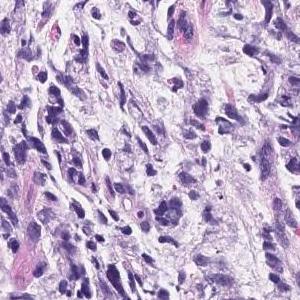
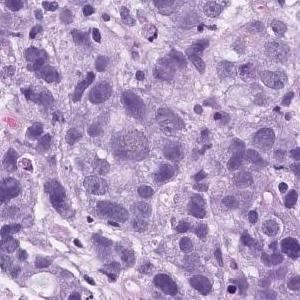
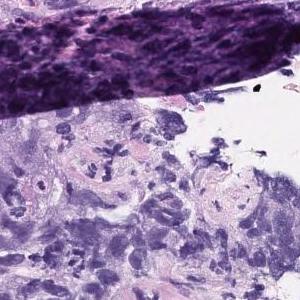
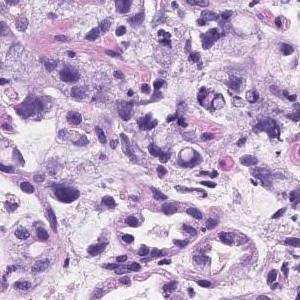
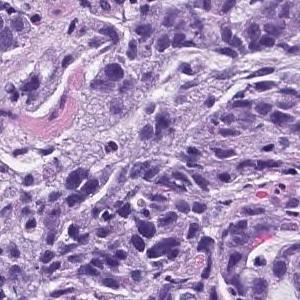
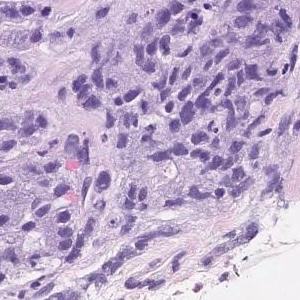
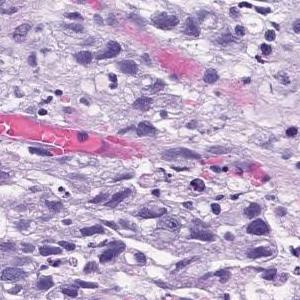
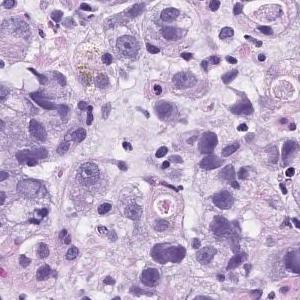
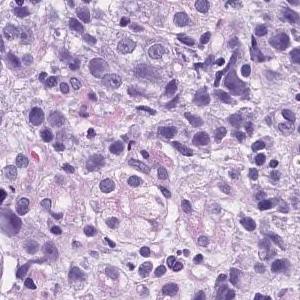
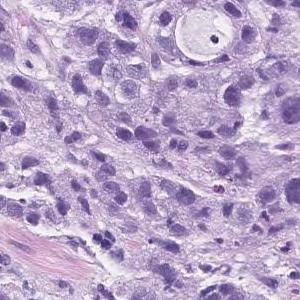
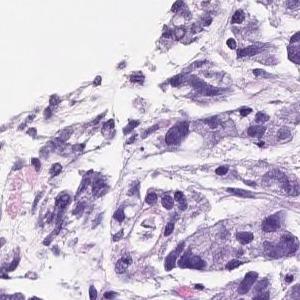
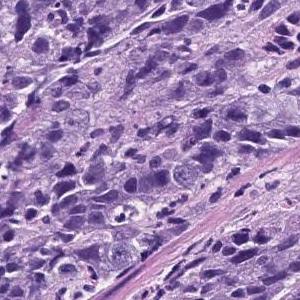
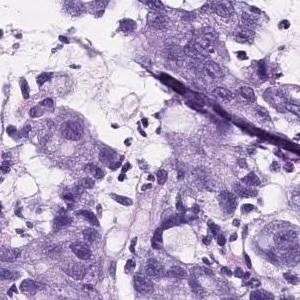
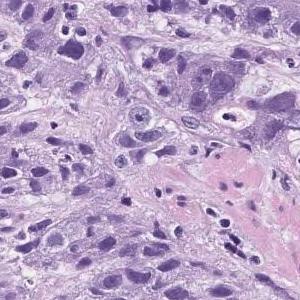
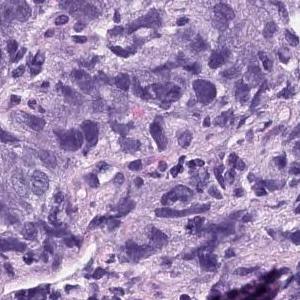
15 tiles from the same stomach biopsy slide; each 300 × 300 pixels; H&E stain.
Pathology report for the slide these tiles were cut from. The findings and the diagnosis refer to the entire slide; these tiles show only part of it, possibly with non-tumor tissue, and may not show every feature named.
Atypical l cells with atypical nuclei forming solid vesicles or small irregular atypical ducts that proliferate in a complex manner. poorly differentiated adenocarcinoma, solid type, moderately differentiated tubular adenocarcinoma
The term "solid type" comes from the Japanese Classification of Gastric Carcinoma; the WHO 2019 equivalent is tubular adenocarcinoma, poorly differentiated.
